×20; 7 patches cut from one gastric biopsy slide.
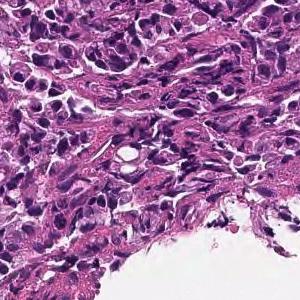
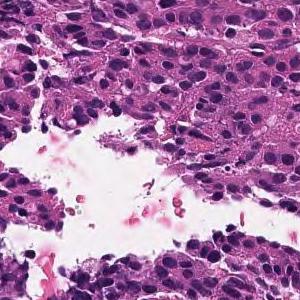
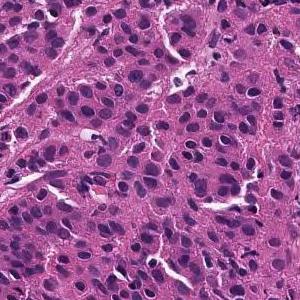
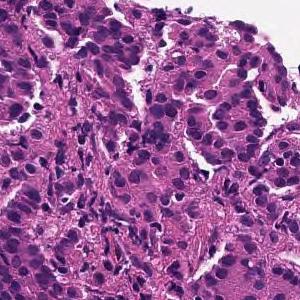
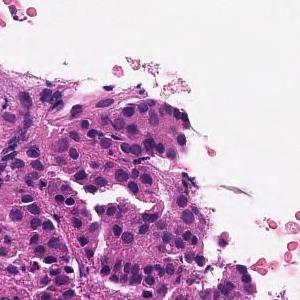
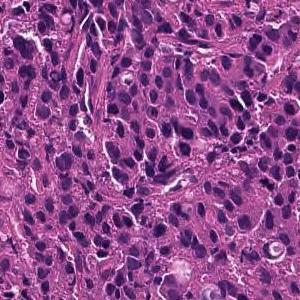
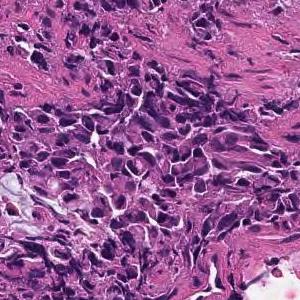
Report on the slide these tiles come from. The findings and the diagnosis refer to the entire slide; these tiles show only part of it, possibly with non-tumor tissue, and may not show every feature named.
The superficial epithelium shows a large sheet-like shape, and some tumor tissue infiltrates with small irregular ducts. Poorly differentiated adenocarcinoma, solid-type
Histologic type: Poorly differentiated adenocarcinoma, solid type, a category of the Japanese Classification of Gastric Carcinoma; in the WHO 2019 classification it is tubular adenocarcinoma, poorly differentiated.
